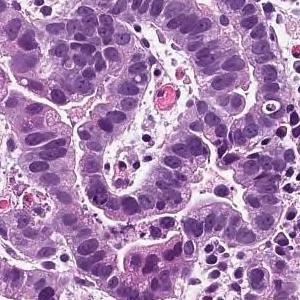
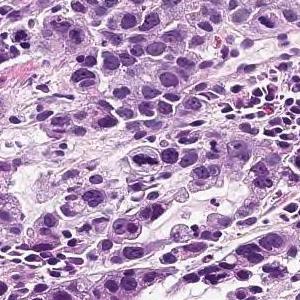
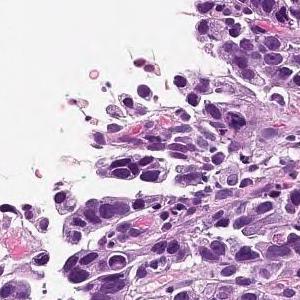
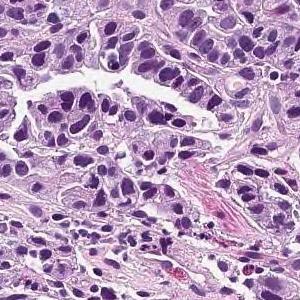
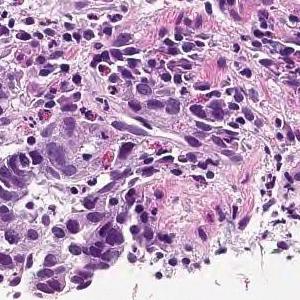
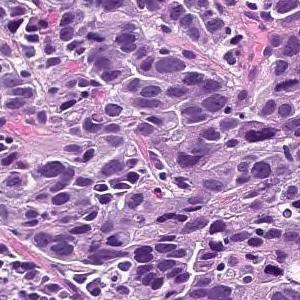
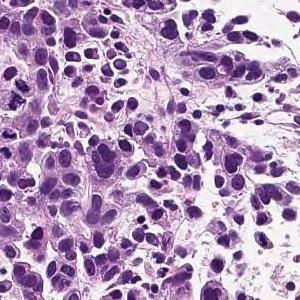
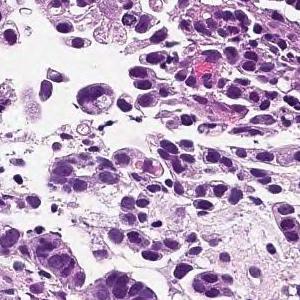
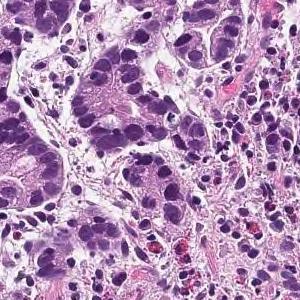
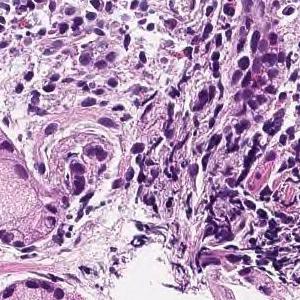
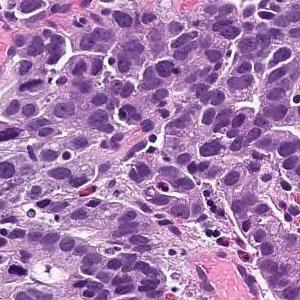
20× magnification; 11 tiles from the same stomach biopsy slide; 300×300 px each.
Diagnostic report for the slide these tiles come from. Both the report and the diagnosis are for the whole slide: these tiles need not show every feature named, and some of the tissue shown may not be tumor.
Tumor tissue consisting of medium-sized, cord-like or irregular glandular infiltration is observed in the superficial epithelium. Poorly differentiated adenocarcinoma, non-solid type or moderately differentiated tubular adenocarcinoma
Histologic type: Moderately to poorly differentiated adenocarcinoma.
The term "non-solid type" comes from the Japanese Classification of Gastric Carcinoma.
